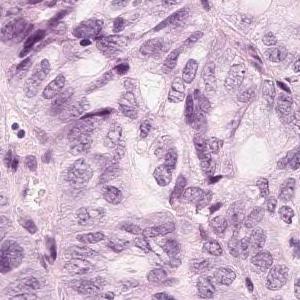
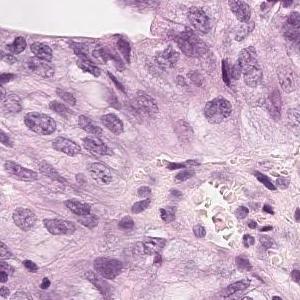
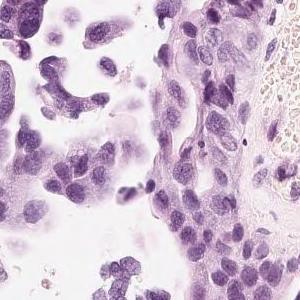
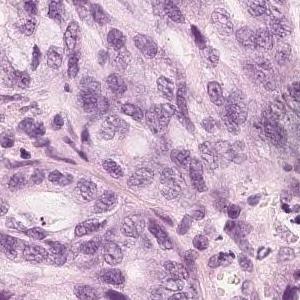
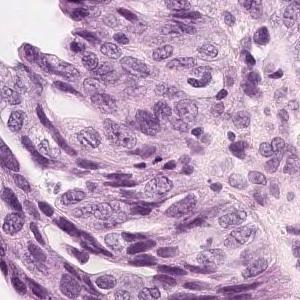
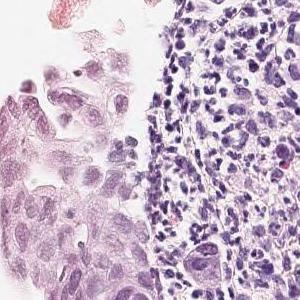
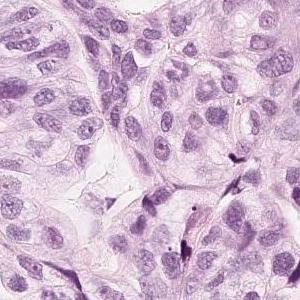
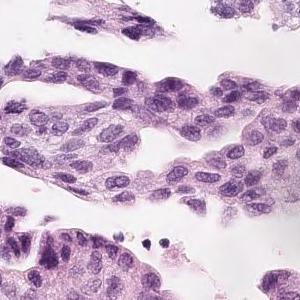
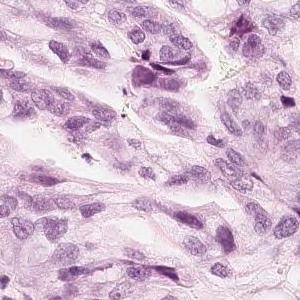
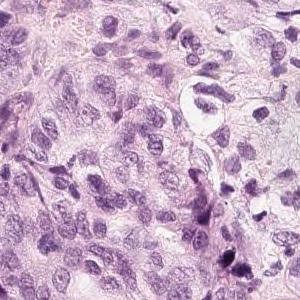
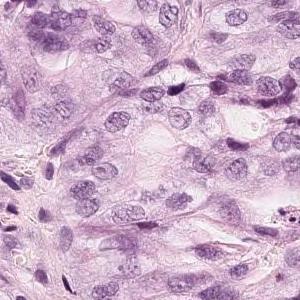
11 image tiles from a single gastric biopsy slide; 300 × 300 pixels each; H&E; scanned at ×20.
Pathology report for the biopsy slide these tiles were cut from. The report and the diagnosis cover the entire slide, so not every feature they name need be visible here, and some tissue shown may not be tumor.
Tumor tissue in which medium-sized atypical epithelial cells with a large N/C ratio grow densely while becoming alveolar to cord-like with duct formation is observed. moderately differentiated tubular adenocarcinoma
